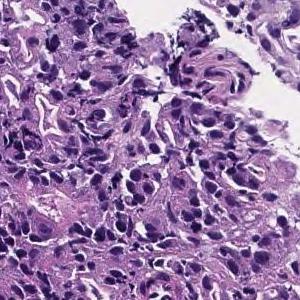
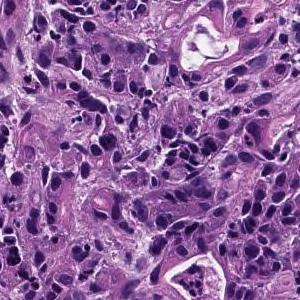
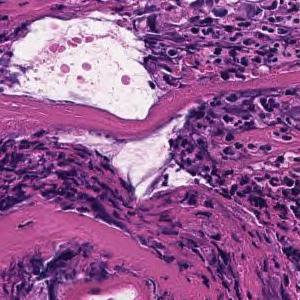
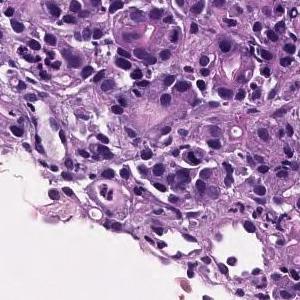
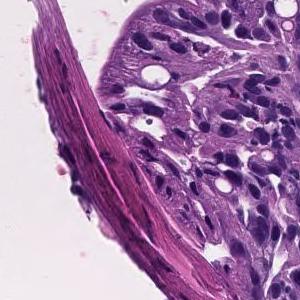
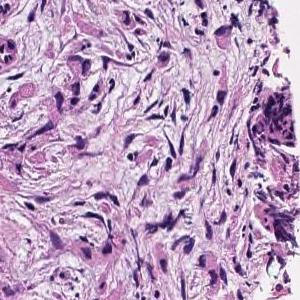
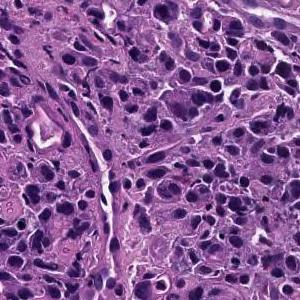
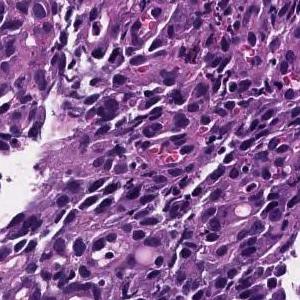
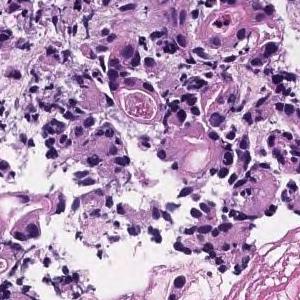
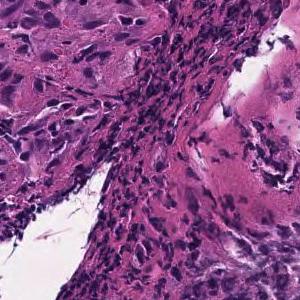
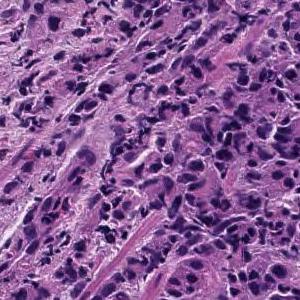
H&E stain · scanned at ×20 · 11 patches cut from one gastric biopsy slide · 300 × 300 pixels each.
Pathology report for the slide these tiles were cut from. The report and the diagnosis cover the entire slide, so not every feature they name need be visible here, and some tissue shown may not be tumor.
The superficial epithelium shows a large sheet-like shape, and some tumor tissue infiltrates with small irregular ducts. Poorly differentiated adenocarcinoma, solid-type
Tumor subtype: poorly differentiated adenocarcinoma, solid type (Japanese Classification of Gastric Carcinoma). The WHO 2019 equivalent is tubular adenocarcinoma, poorly differentiated.
